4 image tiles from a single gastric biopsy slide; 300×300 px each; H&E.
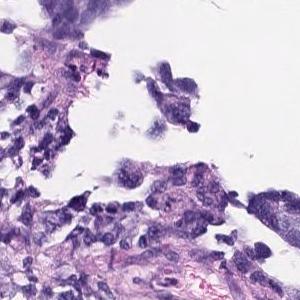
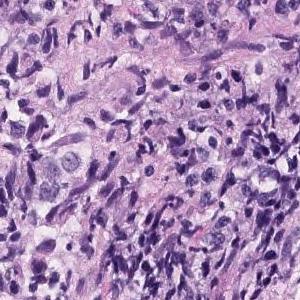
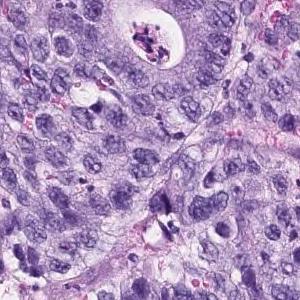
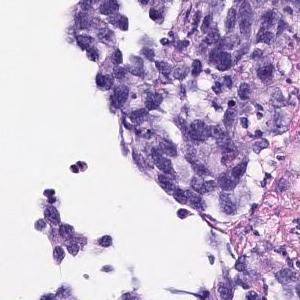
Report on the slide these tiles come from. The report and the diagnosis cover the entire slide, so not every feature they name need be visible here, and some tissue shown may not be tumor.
The superficial epithelium shows a large sheet-like shape, and some tumor tissue infiltrates with small irregular ducts. Poorly differentiated adenocarcinoma, solid-type
Classified as poorly differentiated adenocarcinoma, solid type (Japanese Classification of Gastric Carcinoma). The WHO 2019 equivalent is tubular adenocarcinoma, poorly differentiated.
